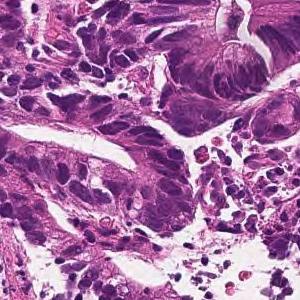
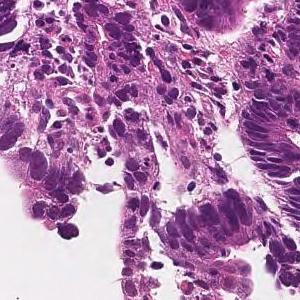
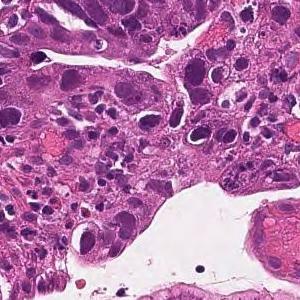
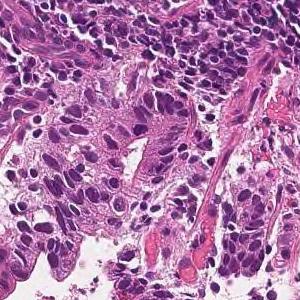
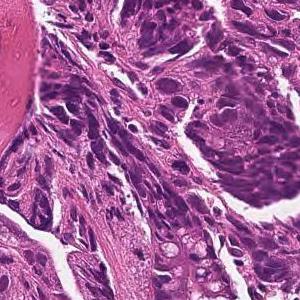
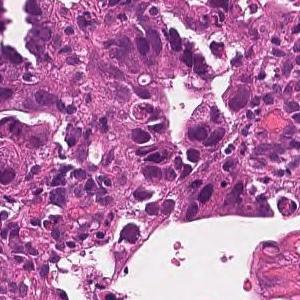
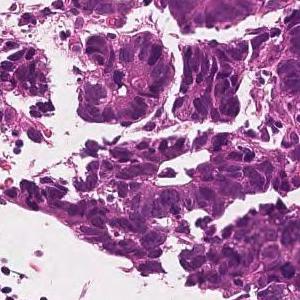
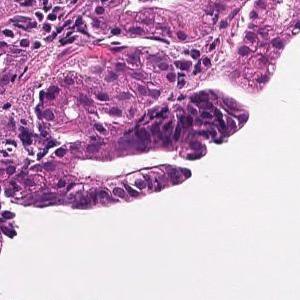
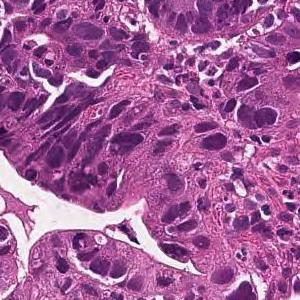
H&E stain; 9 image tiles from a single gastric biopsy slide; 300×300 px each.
Report on the slide these tiles come from. The findings and the diagnosis refer to the entire slide; these tiles show only part of it, possibly with non-tumor tissue, and may not show every feature named.
From the superficial epithelium to the muscularis mucosae, tumor tissue consisting of medium-sized and irregular glandular ducts infiltrating is observed. Well differentiated tubular adenocarcinoma
